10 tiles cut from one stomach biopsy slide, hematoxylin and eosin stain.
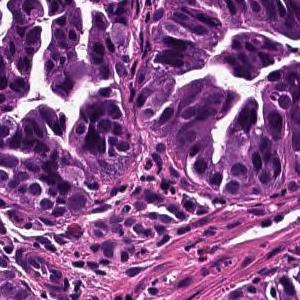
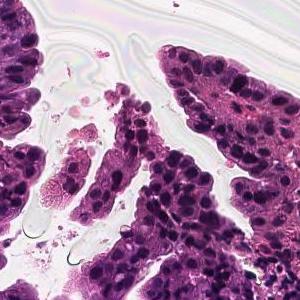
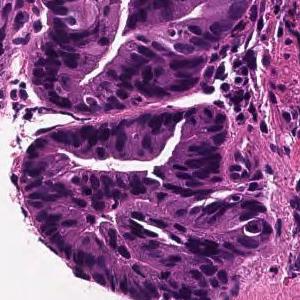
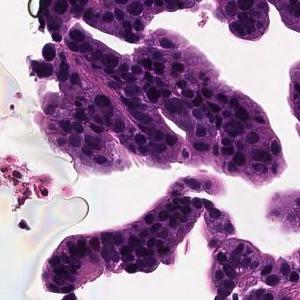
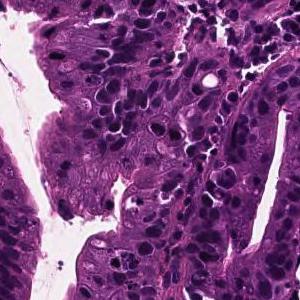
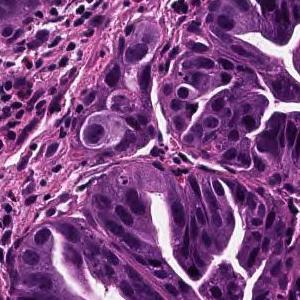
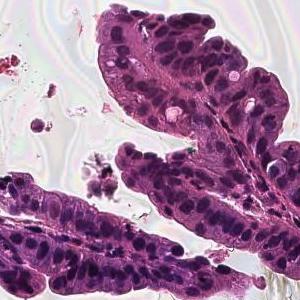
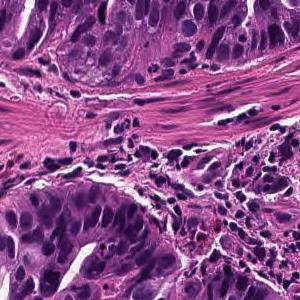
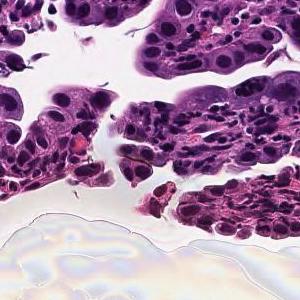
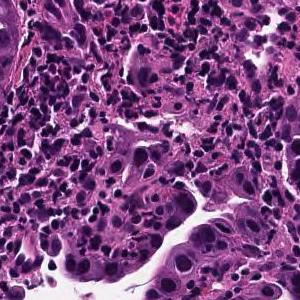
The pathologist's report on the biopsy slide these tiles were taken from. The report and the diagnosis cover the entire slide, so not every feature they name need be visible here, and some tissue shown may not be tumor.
Tumor cells are large, highly columnar, large club-shaped nuclei, and are associated with chromatin aggregation. Papillary adenocarcinoma.
